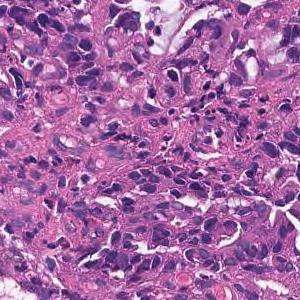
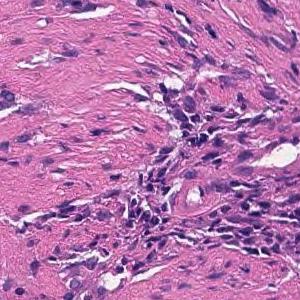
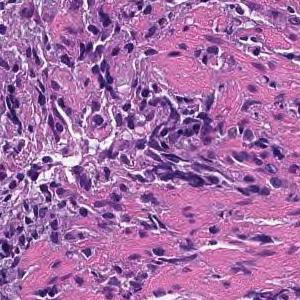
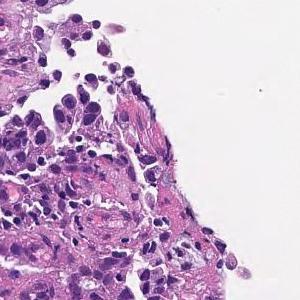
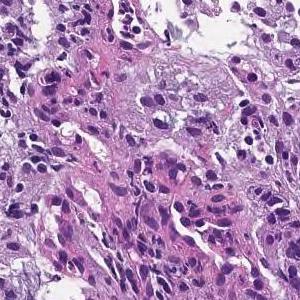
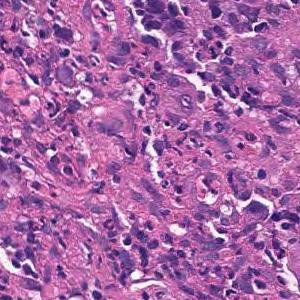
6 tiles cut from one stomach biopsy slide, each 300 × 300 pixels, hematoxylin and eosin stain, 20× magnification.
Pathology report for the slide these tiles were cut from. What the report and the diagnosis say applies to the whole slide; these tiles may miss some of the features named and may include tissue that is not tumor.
On the superficial epithelium, tumor tissue consisting of large, irregular glandular ducts partially fused and infiltrated is observed. Well to moderately differentiated tubular adenocarcinoma (well differentiated tubular adenocarcinoma, moderately differentiated tubular adenocarcinoma)
Subtype: Well to moderately differentiated tubular adenocarcinoma.
